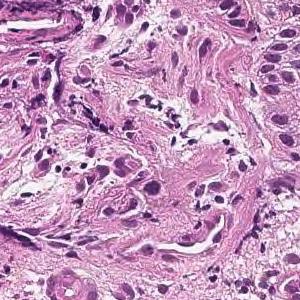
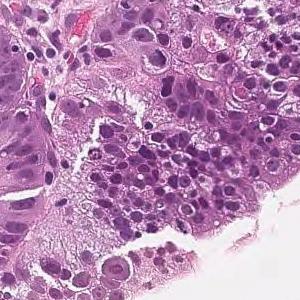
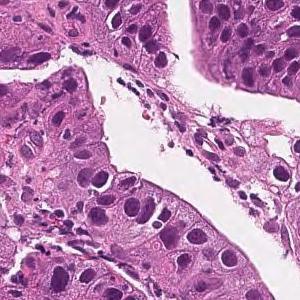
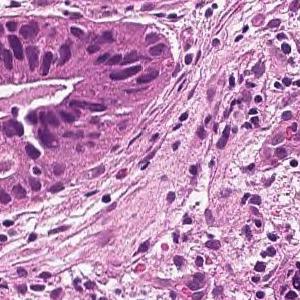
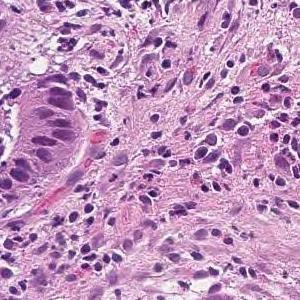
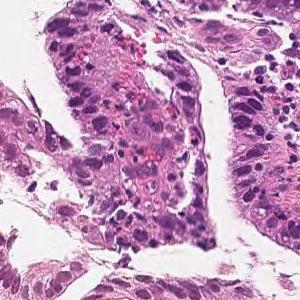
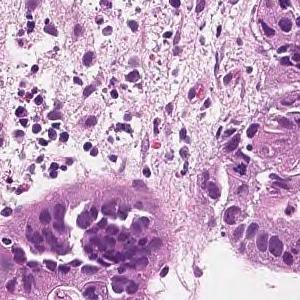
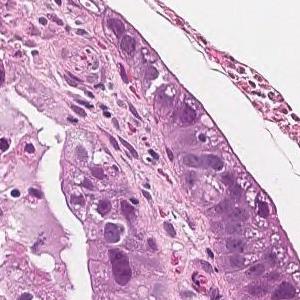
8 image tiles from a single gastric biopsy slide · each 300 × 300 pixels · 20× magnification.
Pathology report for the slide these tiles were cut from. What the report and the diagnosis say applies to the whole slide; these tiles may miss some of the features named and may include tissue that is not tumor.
In the superficial epithelium, tumor tissue that invades by forming medium-sized to small, irregular ducts is observed. moderately differentiated tubular adenocarcinoma.
